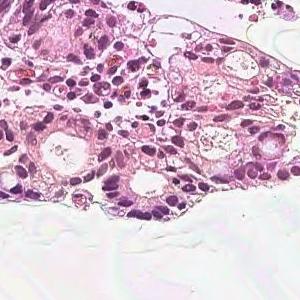
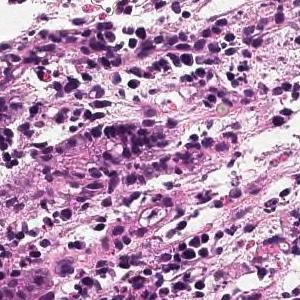
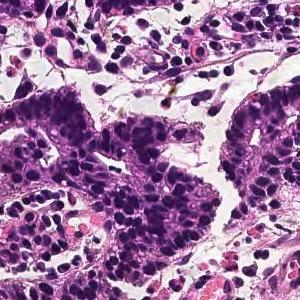
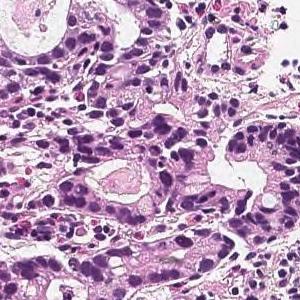
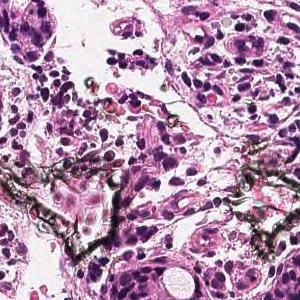
5 image tiles from a single gastric biopsy slide · each 300 × 300 pixels · H&E stain.
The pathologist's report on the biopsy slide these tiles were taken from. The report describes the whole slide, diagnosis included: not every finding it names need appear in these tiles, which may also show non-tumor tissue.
In the superficial epithelium, tumor tissue that invades by forming medium-sized to small, irregular ducts is observed. moderately differentiated tubular adenocarcinoma.
